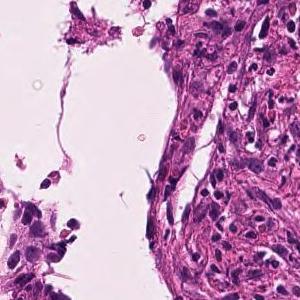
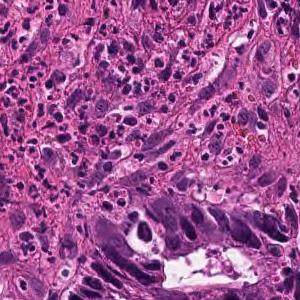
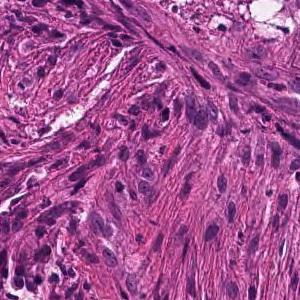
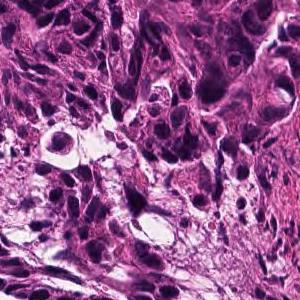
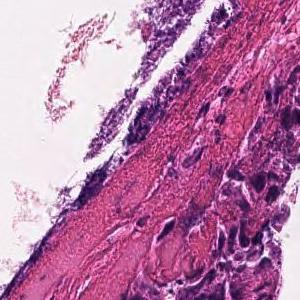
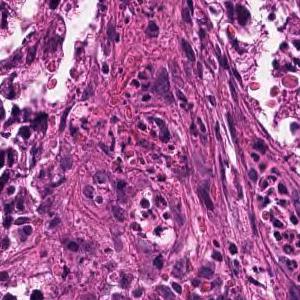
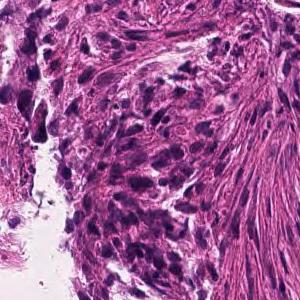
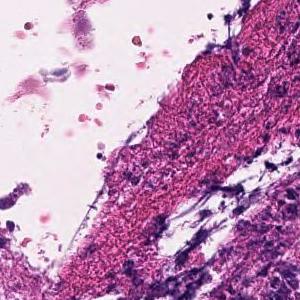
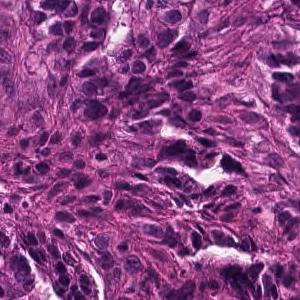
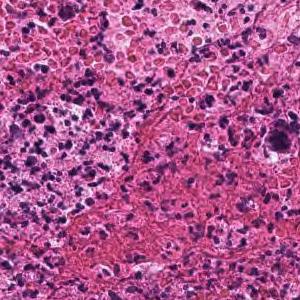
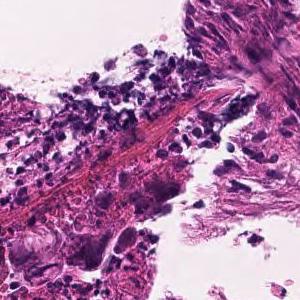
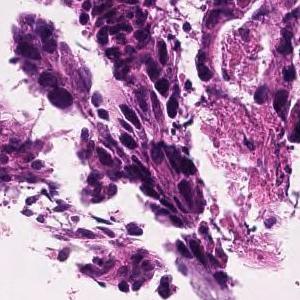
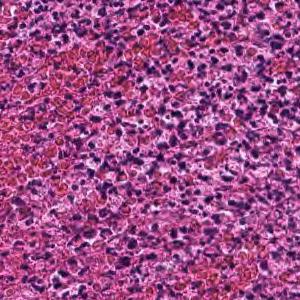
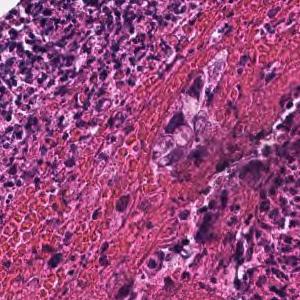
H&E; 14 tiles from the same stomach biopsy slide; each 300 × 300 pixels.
The pathologist's report on the biopsy slide these tiles were taken from. The report describes the whole slide, diagnosis included: not every finding it names need appear in these tiles, which may also show non-tumor tissue.
In the superficial epithelium, tumor tissue that invades by forming medium-sized to small, irregular ducts is observed. moderately differentiated tubular adenocarcinoma.
